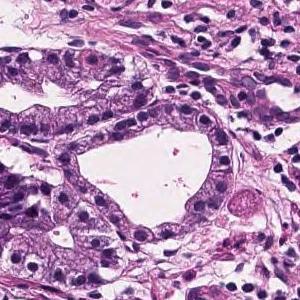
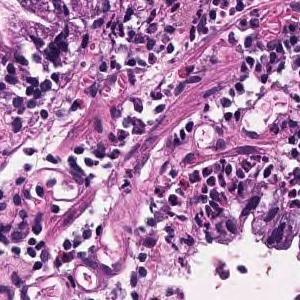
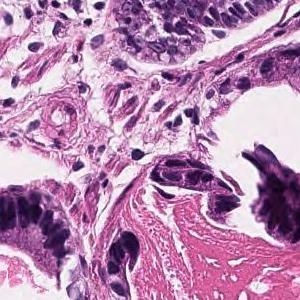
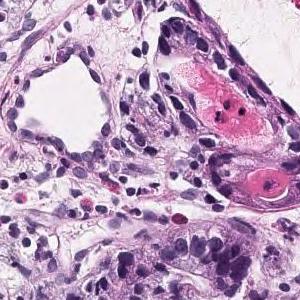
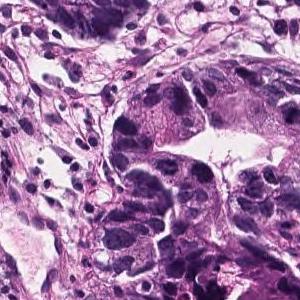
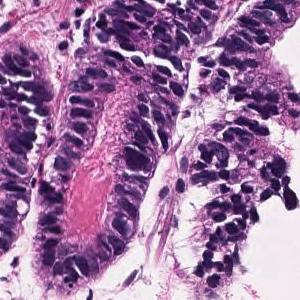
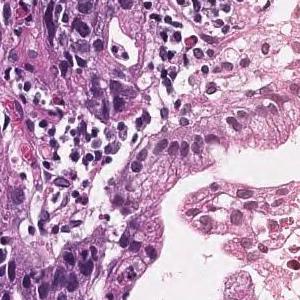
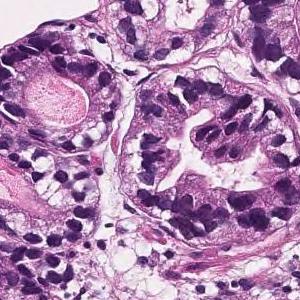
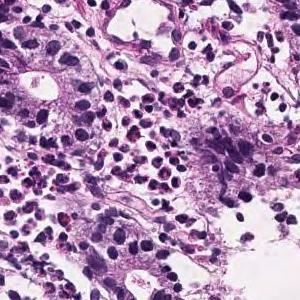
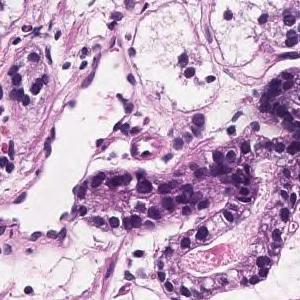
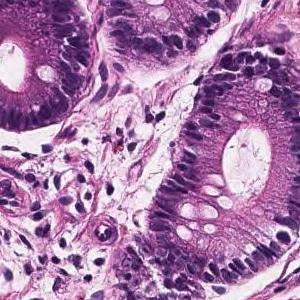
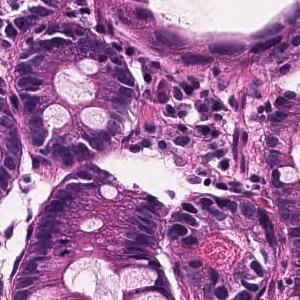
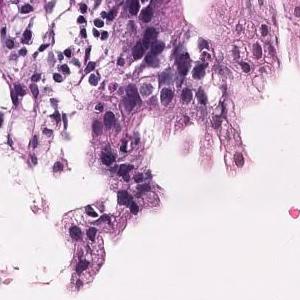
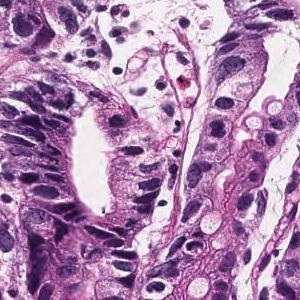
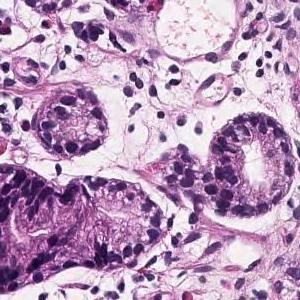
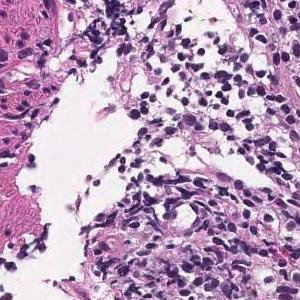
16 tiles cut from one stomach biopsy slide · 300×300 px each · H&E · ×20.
Diagnostic report for the slide these tiles come from. What the report and the diagnosis say applies to the whole slide; these tiles may miss some of the features named and may include tissue that is not tumor.
Tumor tissue consisting of medium-sized and irregular ducts is observed infiltrating in the superficial epithelium. Tumor cells are highly columnar, with nuclei aligned basolaterally and polarized. Well differentiated tubular adenocarcinoma.
